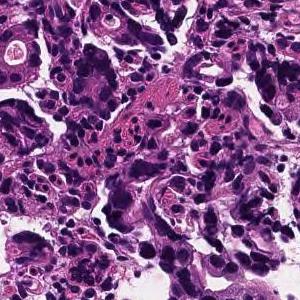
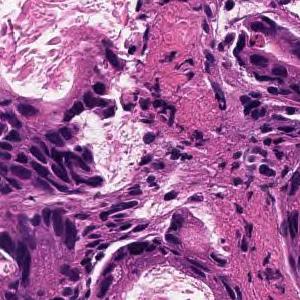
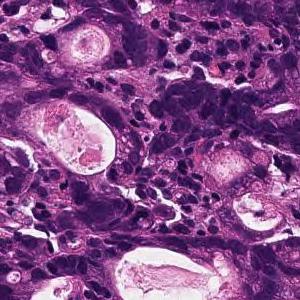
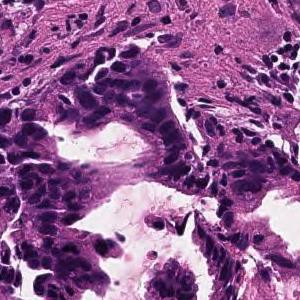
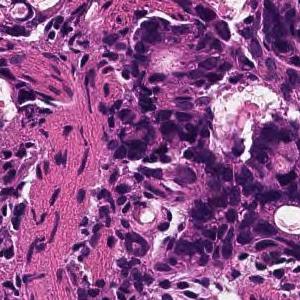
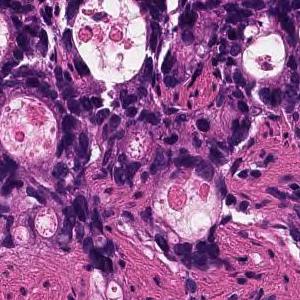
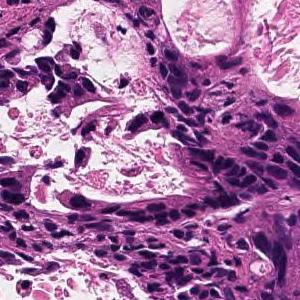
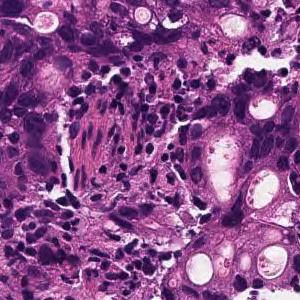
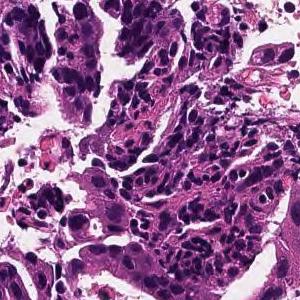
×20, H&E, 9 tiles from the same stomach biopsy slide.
Diagnostic report for the slide these tiles come from. The report and the diagnosis describe the slide as a whole, so these tiles may not show every feature named and may include non-tumor tissue.
In the superficial epithelium, tumor tissue that invades by forming medium-sized to small, irregular ducts is observed. moderately differentiated tubular adenocarcinoma.
